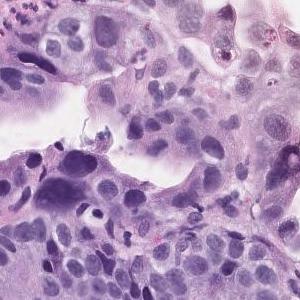
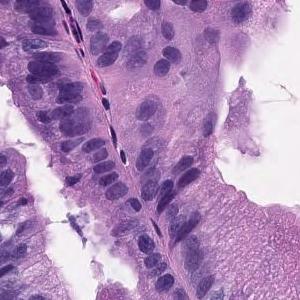
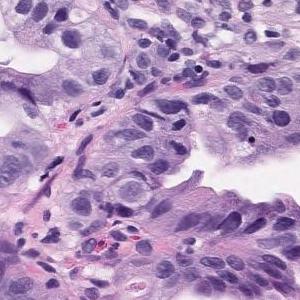
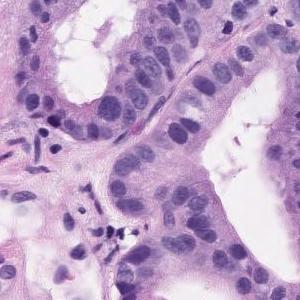
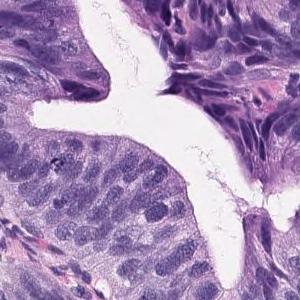
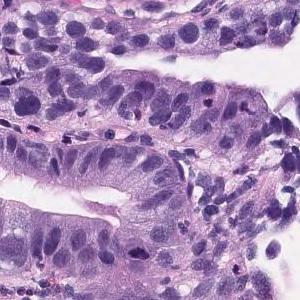
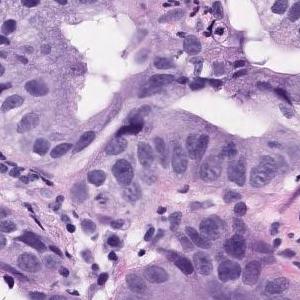
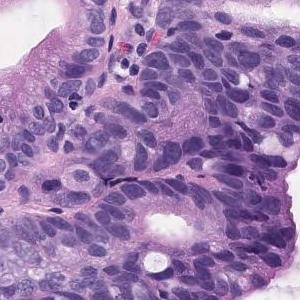
Hematoxylin and eosin stain; 20× magnification; 8 tiles cut from one stomach biopsy slide; 300×300 px each.
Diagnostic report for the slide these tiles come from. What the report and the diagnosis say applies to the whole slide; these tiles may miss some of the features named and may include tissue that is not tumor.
Tumor tissue consisting of medium-sized and irregular ducts is observed infiltrating in the superficial epithelium. Tumor cells are highly columnar, with nuclei aligned basolaterally and polarized. Well differentiated tubular adenocarcinoma.
